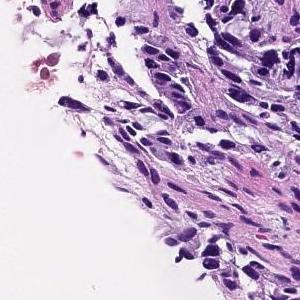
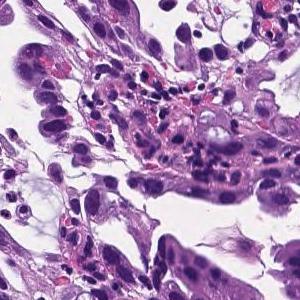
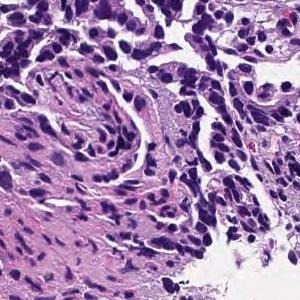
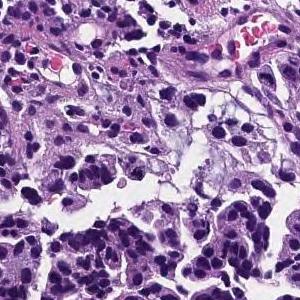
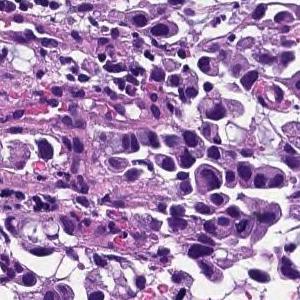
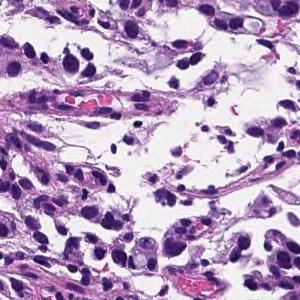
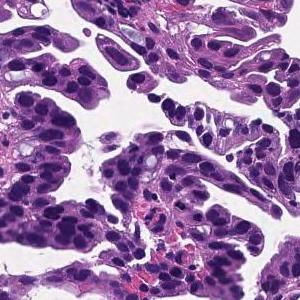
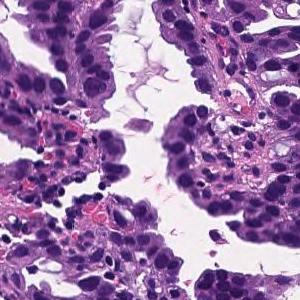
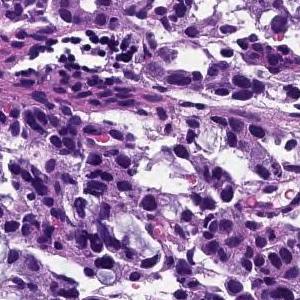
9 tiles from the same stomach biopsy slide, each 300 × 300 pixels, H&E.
Pathology report for the biopsy slide these tiles were cut from. The report and the diagnosis describe the slide as a whole, so these tiles may not show every feature named and may include non-tumor tissue.
Tumor tissue consisting of medium-sized, cord-like or irregular glandular infiltration is observed in the superficial epithelium. Poorly differentiated adenocarcinoma, non-solid type or moderately differentiated tubular adenocarcinoma
Histologic type: Moderately to poorly differentiated adenocarcinoma.
"Non-solid type" is a category of the Japanese Classification of Gastric Carcinoma.
